20× magnification; H&E stain; 14 patches cut from one gastric biopsy slide; 300 × 300 pixels each.
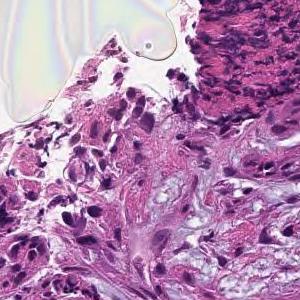
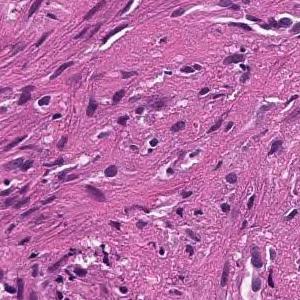
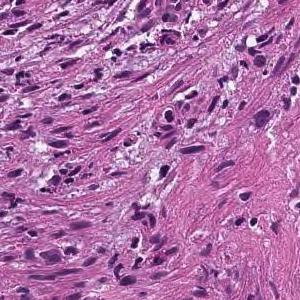
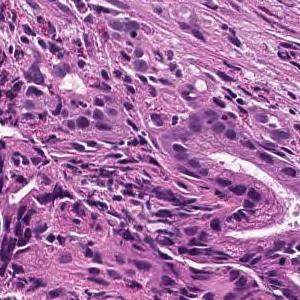
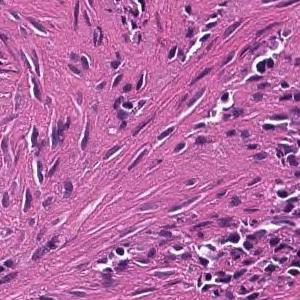
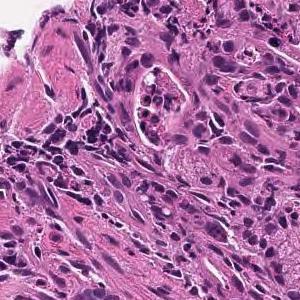
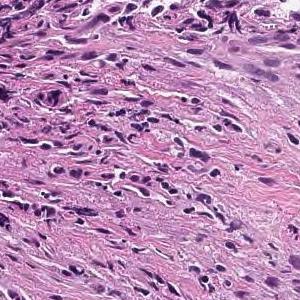
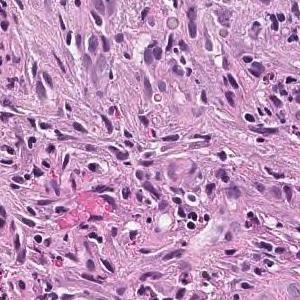
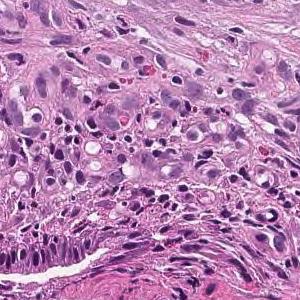
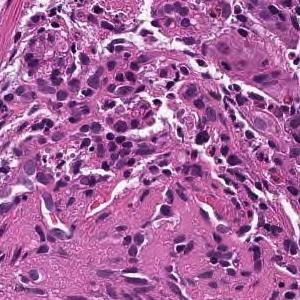
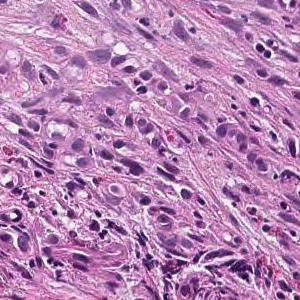
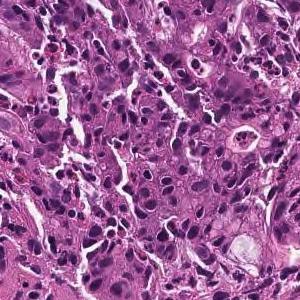
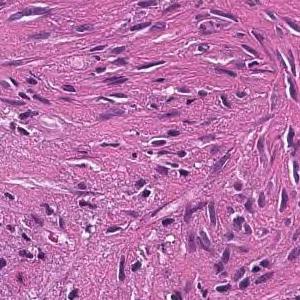
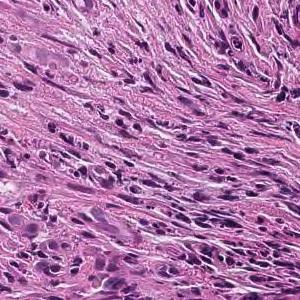
Pathology report for the biopsy slide these tiles were cut from. The report describes the whole slide, diagnosis included: not every finding it names need appear in these tiles, which may also show non-tumor tissue.
In the superficial epithelium, tumor tissue that invades by forming medium-sized to small, irregular ducts is observed. moderately differentiated tubular adenocarcinoma.
